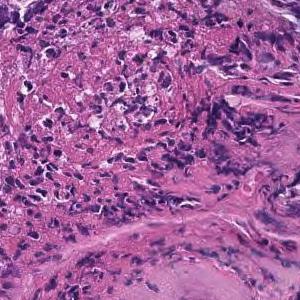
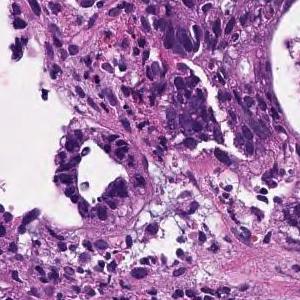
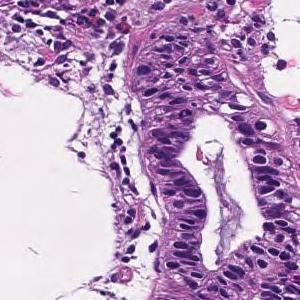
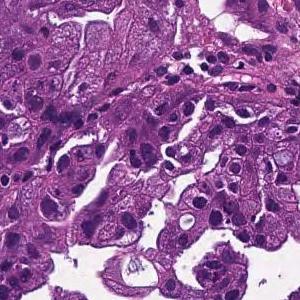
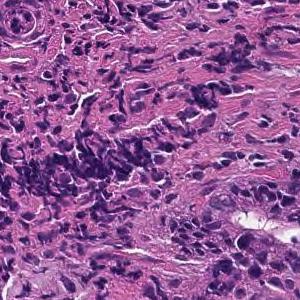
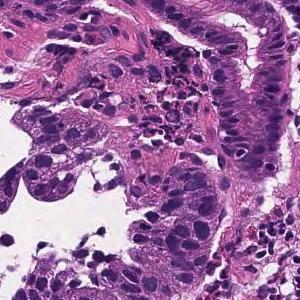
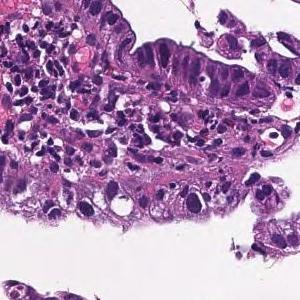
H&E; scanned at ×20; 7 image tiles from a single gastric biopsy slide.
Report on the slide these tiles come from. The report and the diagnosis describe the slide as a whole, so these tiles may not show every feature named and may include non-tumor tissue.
From the superficial epithelium to the muscularis mucosae, tumor tissue consisting of medium-sized and irregular glandular ducts infiltrating is observed. Well differentiated tubular adenocarcinoma
